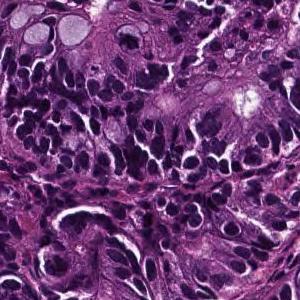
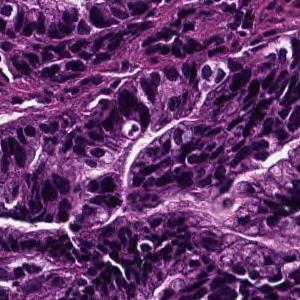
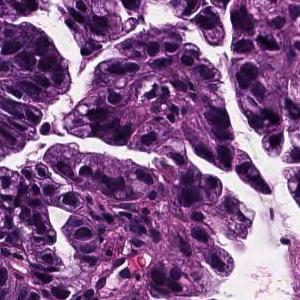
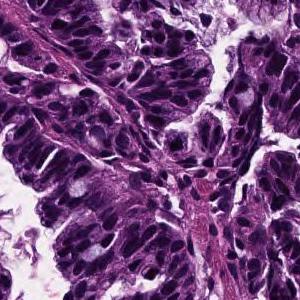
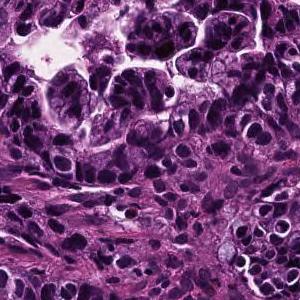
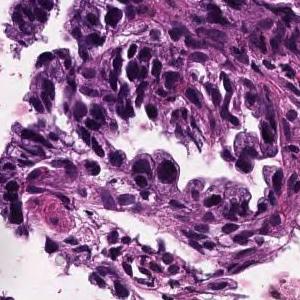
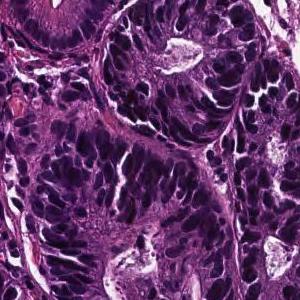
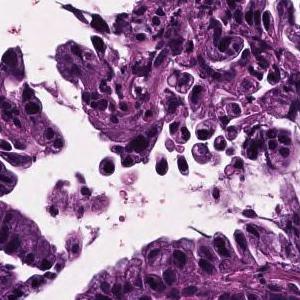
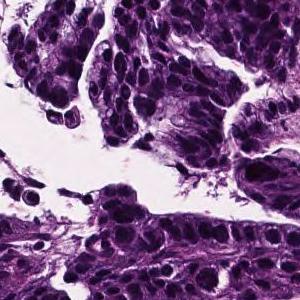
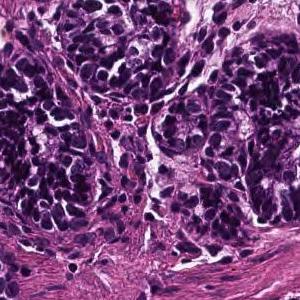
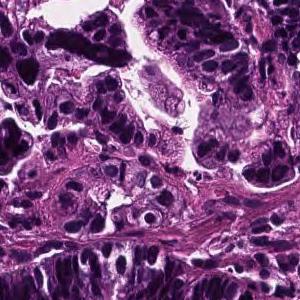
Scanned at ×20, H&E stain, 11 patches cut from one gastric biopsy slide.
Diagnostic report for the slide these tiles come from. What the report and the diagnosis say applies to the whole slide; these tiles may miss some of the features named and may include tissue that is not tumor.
In the superficial epithelium, tumor tissue that invades by forming medium-sized to small, irregular ducts is observed. Well differentiated tubular adenocarcinoma.
